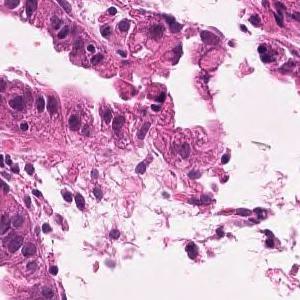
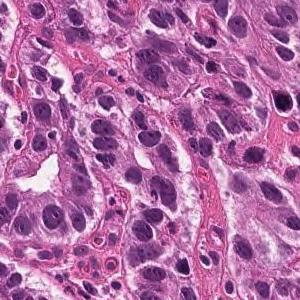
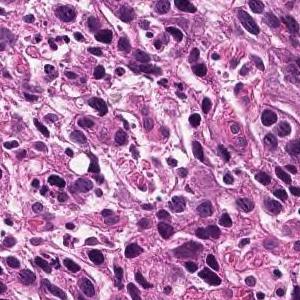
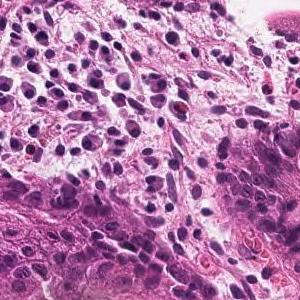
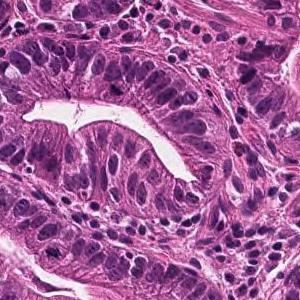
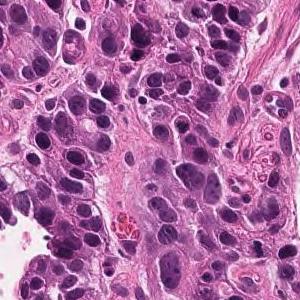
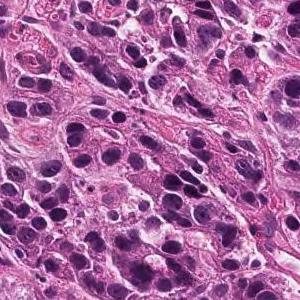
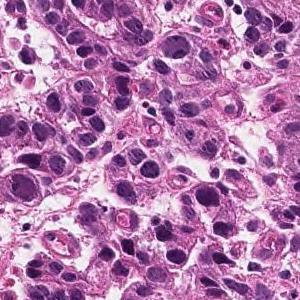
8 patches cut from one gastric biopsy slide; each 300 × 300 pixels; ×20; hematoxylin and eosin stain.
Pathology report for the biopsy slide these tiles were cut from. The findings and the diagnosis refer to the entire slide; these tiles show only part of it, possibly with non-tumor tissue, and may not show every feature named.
Tumor tissue consisting of medium-sized, cord-like or irregular glandular infiltration is observed in the superficial epithelium. Poorly differentiated adenocarcinoma, non-solid type or moderately differentiated tubular adenocarcinoma
Tumor subtype: moderately to poorly differentiated adenocarcinoma.
The term "non-solid type" comes from the Japanese Classification of Gastric Carcinoma.
